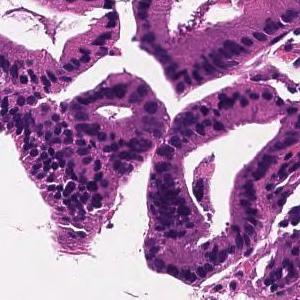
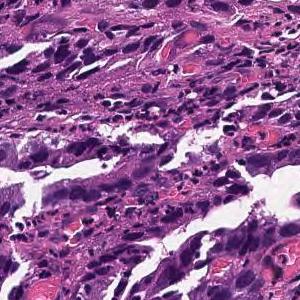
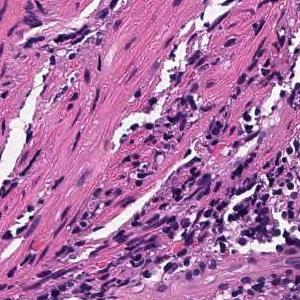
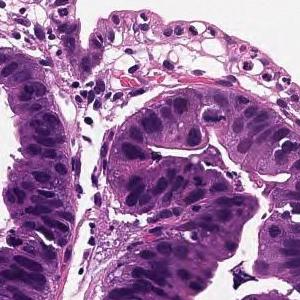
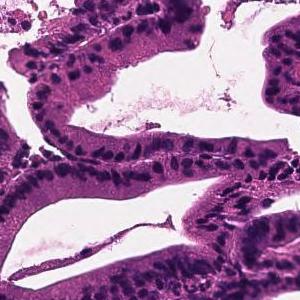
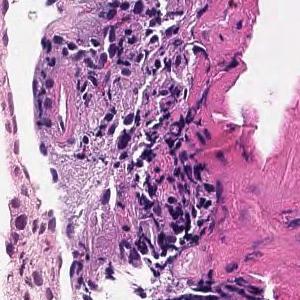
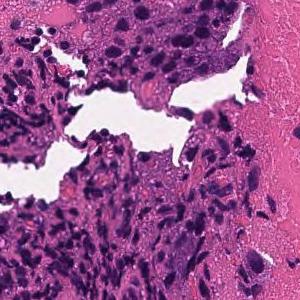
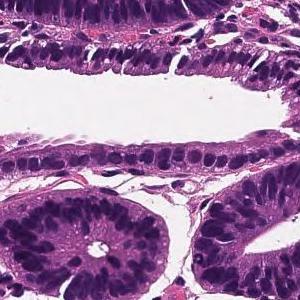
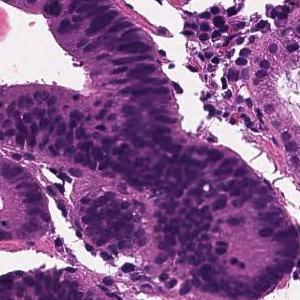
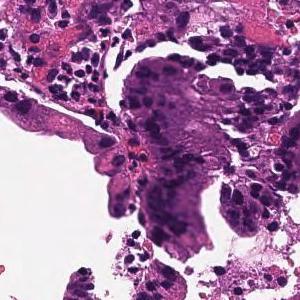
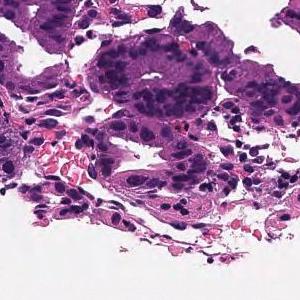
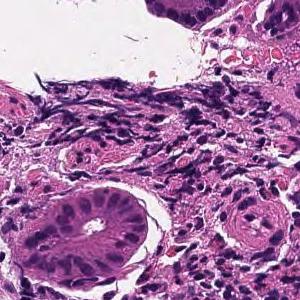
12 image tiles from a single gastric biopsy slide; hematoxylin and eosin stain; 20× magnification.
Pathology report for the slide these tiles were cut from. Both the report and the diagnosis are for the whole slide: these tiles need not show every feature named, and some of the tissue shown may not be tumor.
Tumor cells are large, highly columnar, large club-shaped nuclei, and are associated with chromatin aggregation. Papillary adenocarcinoma.
